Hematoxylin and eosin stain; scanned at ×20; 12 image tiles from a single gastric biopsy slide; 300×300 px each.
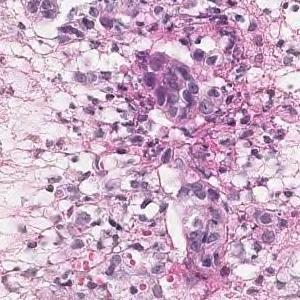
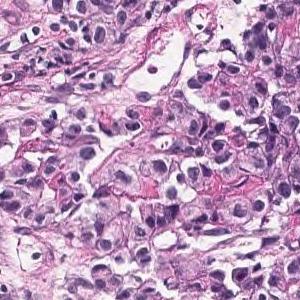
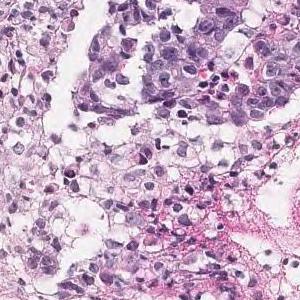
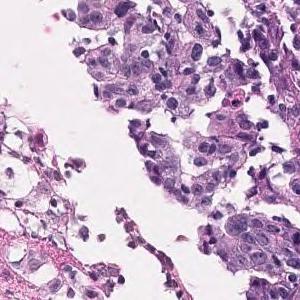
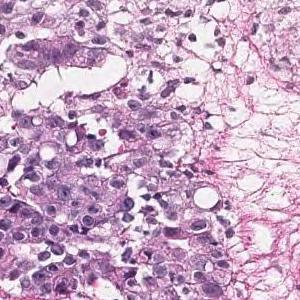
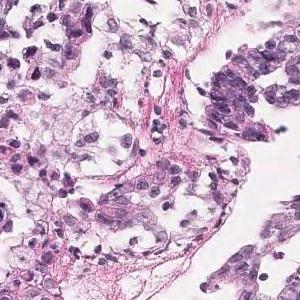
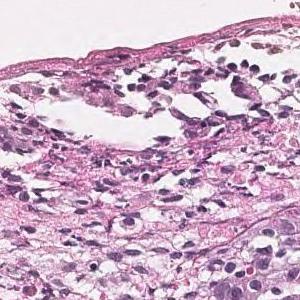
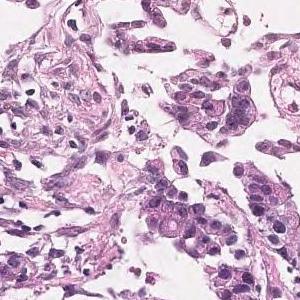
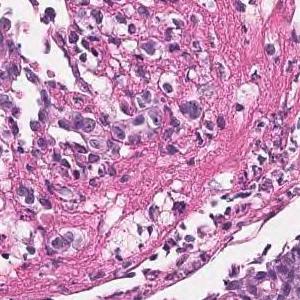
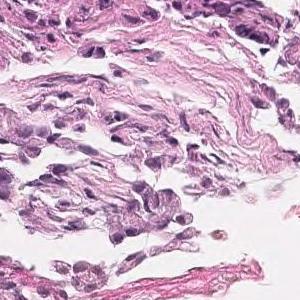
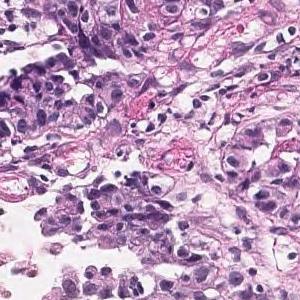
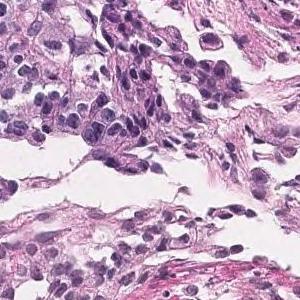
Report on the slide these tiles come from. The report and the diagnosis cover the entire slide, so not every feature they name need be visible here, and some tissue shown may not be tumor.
In the superficial epithelium, tumor tissue that invades by forming medium-sized to small, irregular ducts is observed. moderately differentiated tubular adenocarcinoma.
